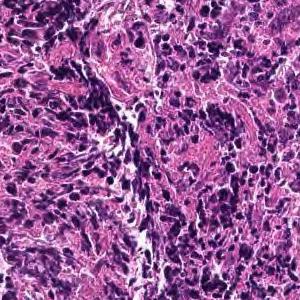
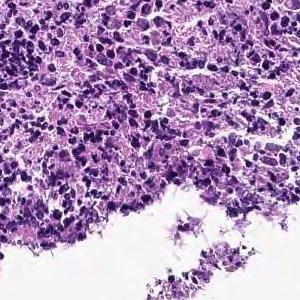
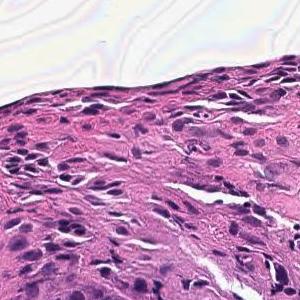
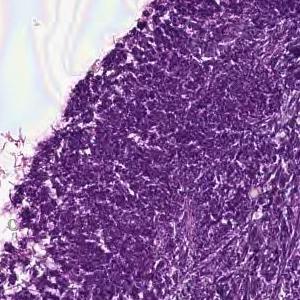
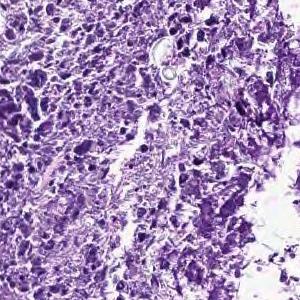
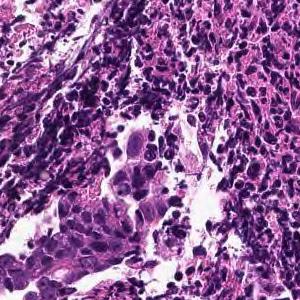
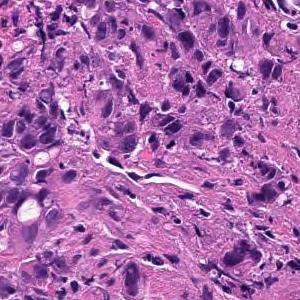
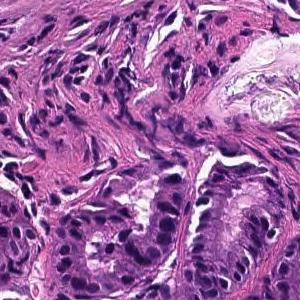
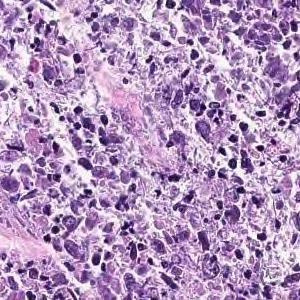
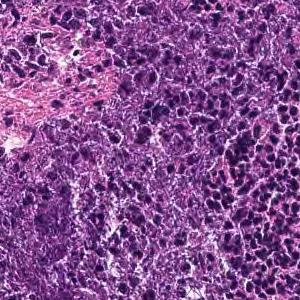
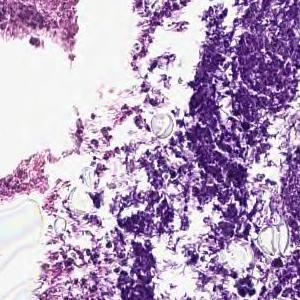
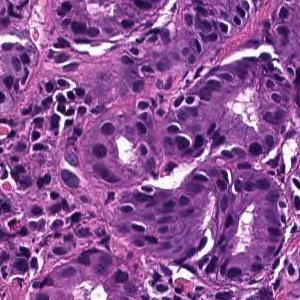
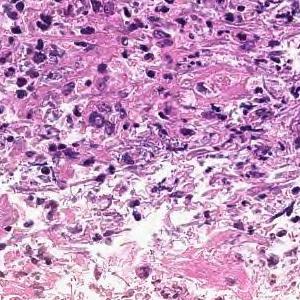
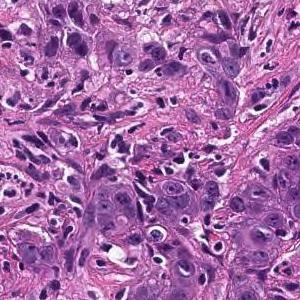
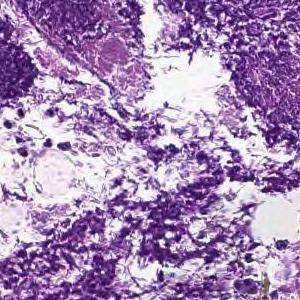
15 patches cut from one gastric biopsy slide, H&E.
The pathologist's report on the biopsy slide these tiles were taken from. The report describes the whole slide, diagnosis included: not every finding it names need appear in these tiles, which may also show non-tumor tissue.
Cancers with polygonal nuclei do not show glandular formation and are densely, in part, cord-like and proliferate. Poorly differentiated adenocarcinoma
Histologic type: Poorly differentiated adenocarcinoma, non-solid type.
"Non-solid type" is a category of the Japanese Classification of Gastric Carcinoma.
